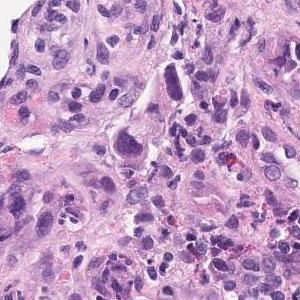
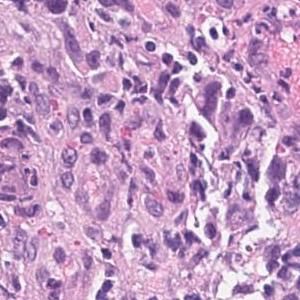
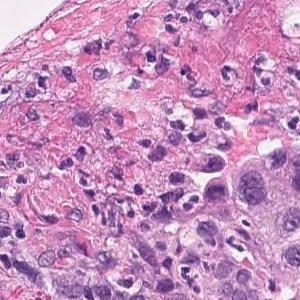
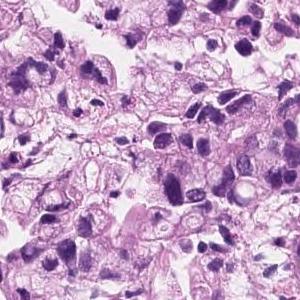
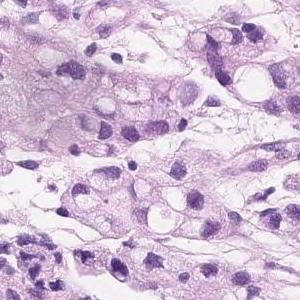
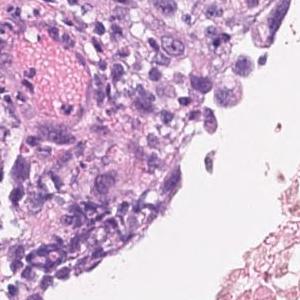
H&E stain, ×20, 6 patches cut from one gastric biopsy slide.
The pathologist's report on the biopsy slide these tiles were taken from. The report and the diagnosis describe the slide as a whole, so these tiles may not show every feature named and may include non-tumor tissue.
Group 5, Adenocarcinoma. Poorly differentiated adenocarcinoma, non-solid type
"Non-solid type" is a category of the Japanese Classification of Gastric Carcinoma.
